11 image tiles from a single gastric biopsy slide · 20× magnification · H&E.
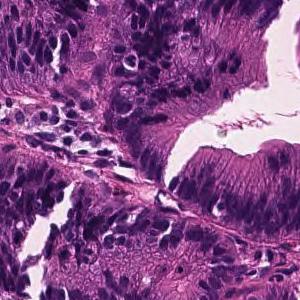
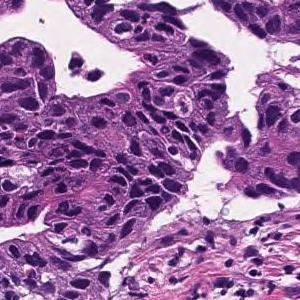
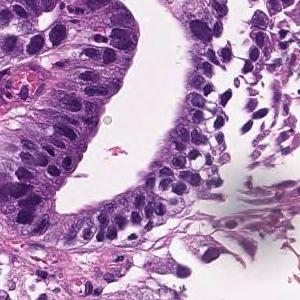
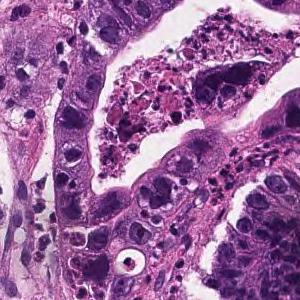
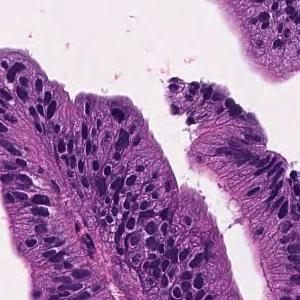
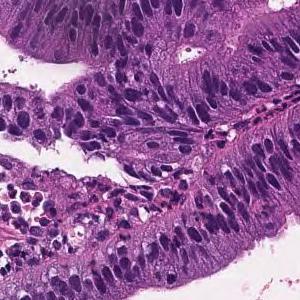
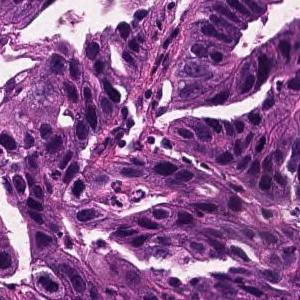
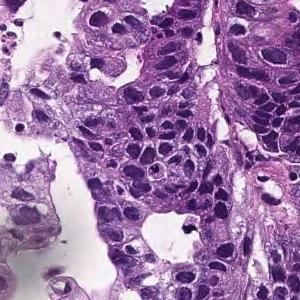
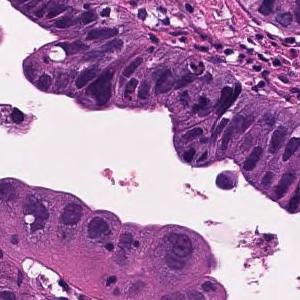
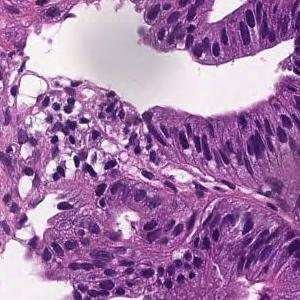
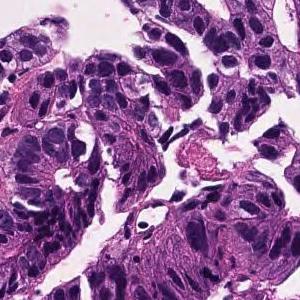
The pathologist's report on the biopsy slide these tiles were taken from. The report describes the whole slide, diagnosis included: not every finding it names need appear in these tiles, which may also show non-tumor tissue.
Tumor cells are large, highly columnar, large club-shaped nuclei, and are associated with chromatin aggregation. Papillary adenocarcinoma.
